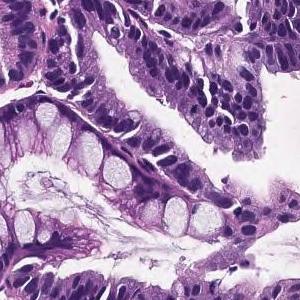
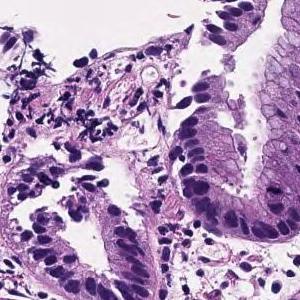
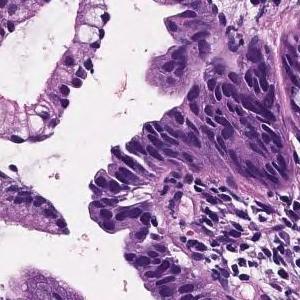
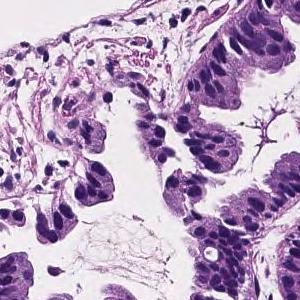
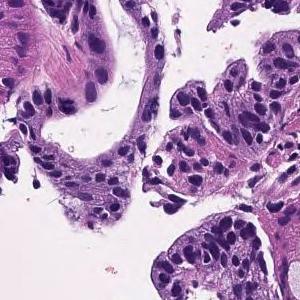
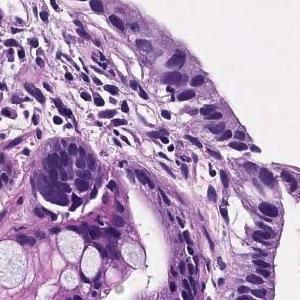
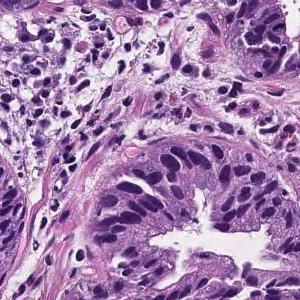
Scanned at ×20; 7 tiles cut from one stomach biopsy slide; 300×300 px each.
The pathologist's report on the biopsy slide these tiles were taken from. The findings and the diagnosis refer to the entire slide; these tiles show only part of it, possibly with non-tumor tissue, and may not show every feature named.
Tumor cells are large, highly columnar, large club-shaped nuclei, and are associated with chromatin aggregation. Papillary adenocarcinoma.
